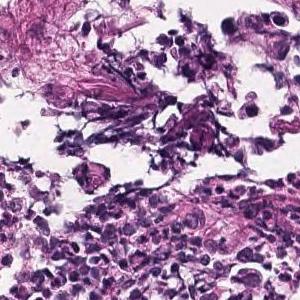
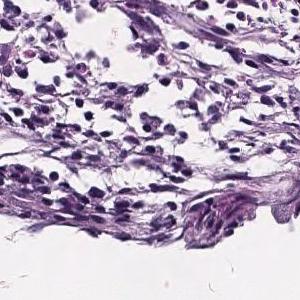
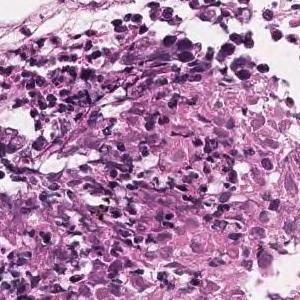
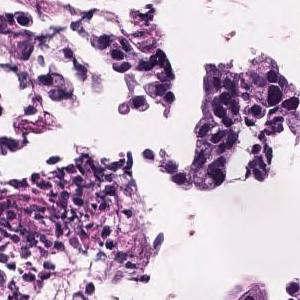
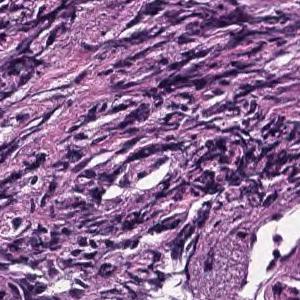
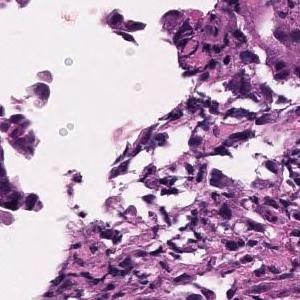
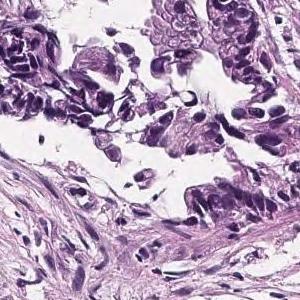
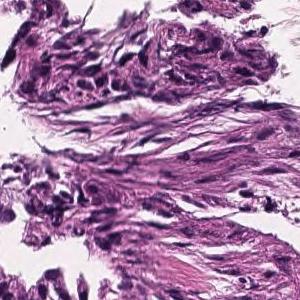
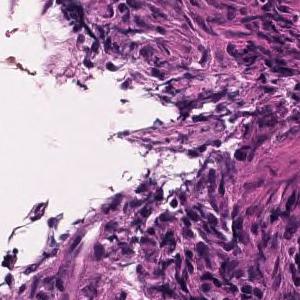
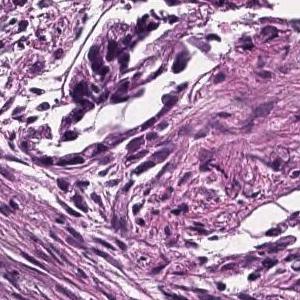
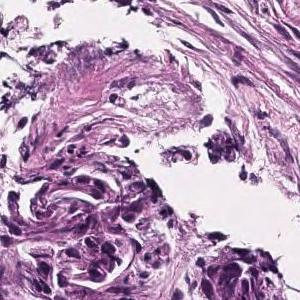
11 image tiles from a single gastric biopsy slide; 300 × 300 pixels each.
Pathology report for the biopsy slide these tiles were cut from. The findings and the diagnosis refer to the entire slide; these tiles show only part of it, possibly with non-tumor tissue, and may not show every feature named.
In the superficial epithelium, tumor tissue that invades by forming medium-sized to small, irregular ducts is observed. moderately differentiated tubular adenocarcinoma.
